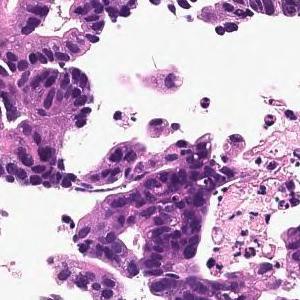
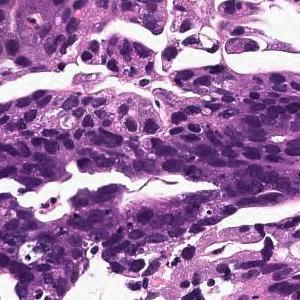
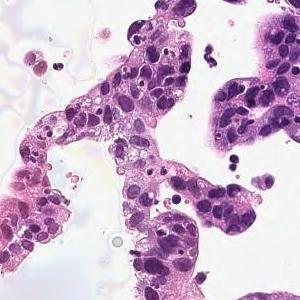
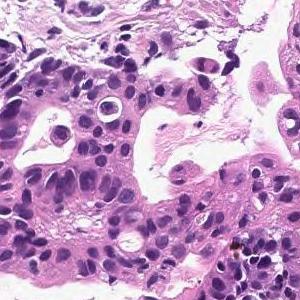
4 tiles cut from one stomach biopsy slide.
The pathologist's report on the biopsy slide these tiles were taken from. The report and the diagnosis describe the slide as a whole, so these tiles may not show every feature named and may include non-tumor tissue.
In the superficial epithelium, tumor tissue that invades by forming medium-sized to small, irregular ducts is observed. moderately differentiated tubular adenocarcinoma.
